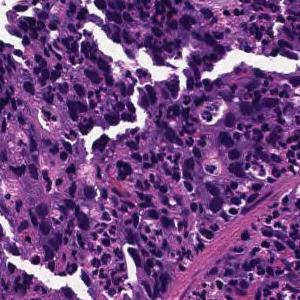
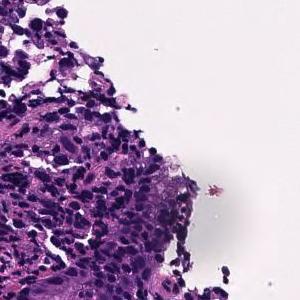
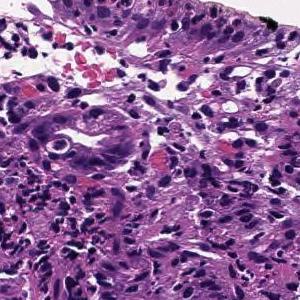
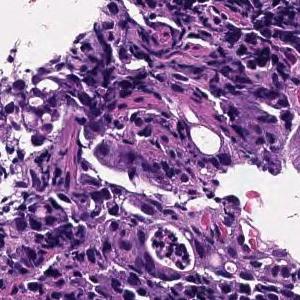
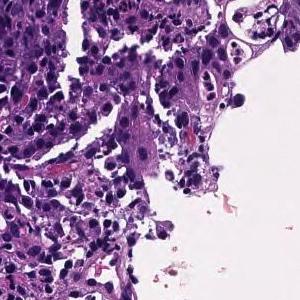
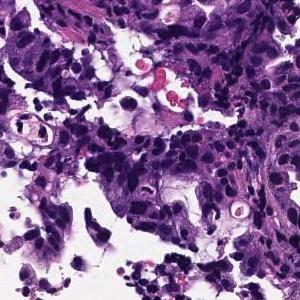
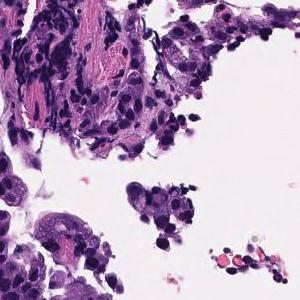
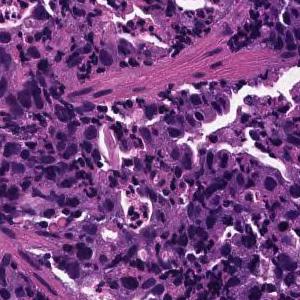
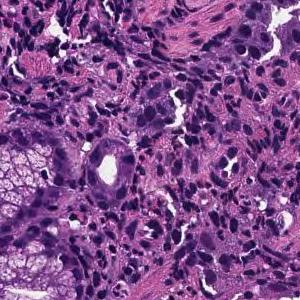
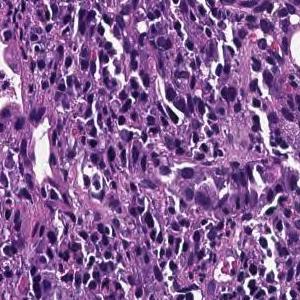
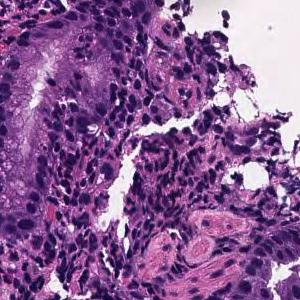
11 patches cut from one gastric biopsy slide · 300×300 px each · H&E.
Pathology report for the slide these tiles were cut from. The findings and the diagnosis refer to the entire slide; these tiles show only part of it, possibly with non-tumor tissue, and may not show every feature named.
Medium to small, irregular glandular ducts are formed in the superficial epithelium, and in some cases, the glandular ducts are fused to show solid alveolar lesions and infiltrating tumor tissue is observed. Moderately to poorly differentiated adenocarcinoma.
